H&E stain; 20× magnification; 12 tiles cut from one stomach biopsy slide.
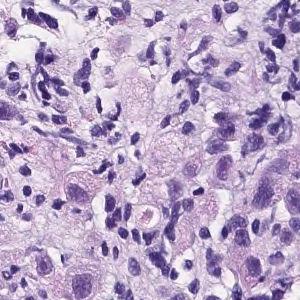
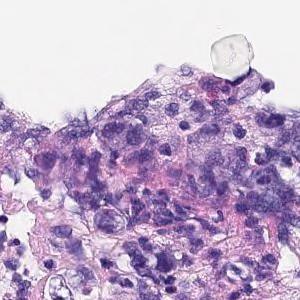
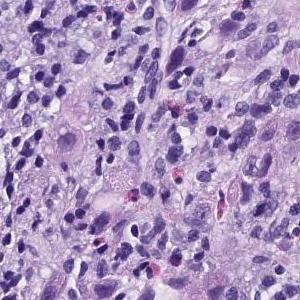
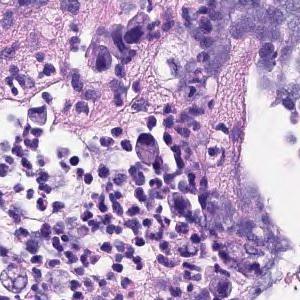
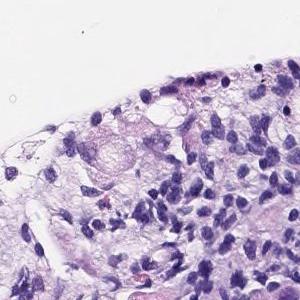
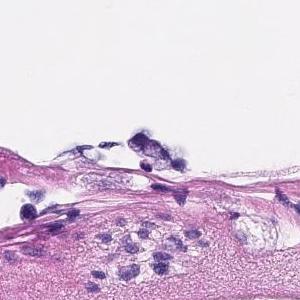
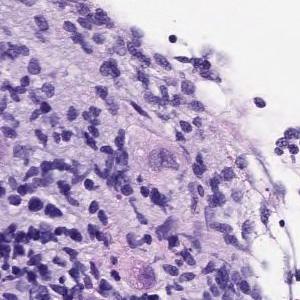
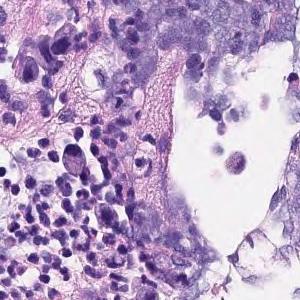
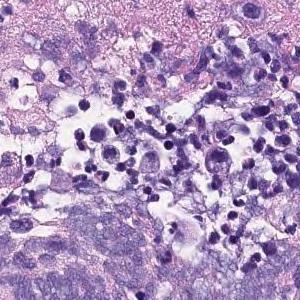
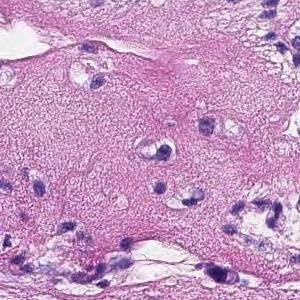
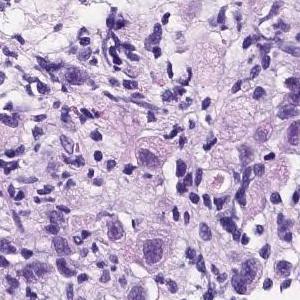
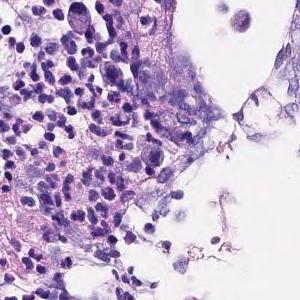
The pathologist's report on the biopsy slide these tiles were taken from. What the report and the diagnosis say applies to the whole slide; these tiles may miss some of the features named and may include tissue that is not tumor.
A large atypical epithelium lacking ductal construction with swelling of the nucleus is seen to proliferate solidly. Poorly differentiated adenocarcinoma.
Subtype: Poorly differentiated adenocarcinoma, non-solid type.
The non-solid type named here is a Japanese Classification of Gastric Carcinoma category.
